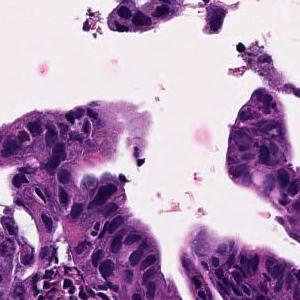
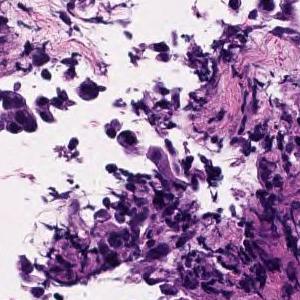
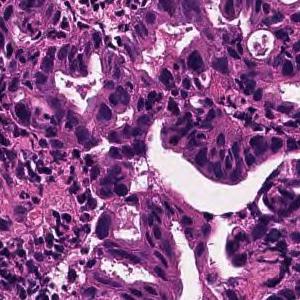
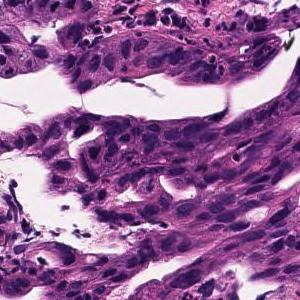
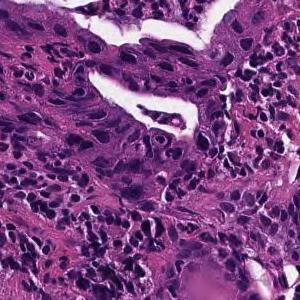
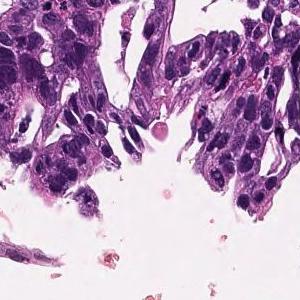
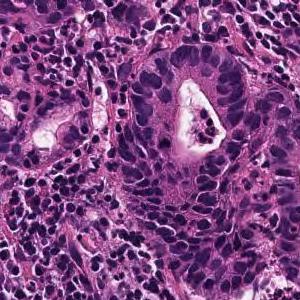
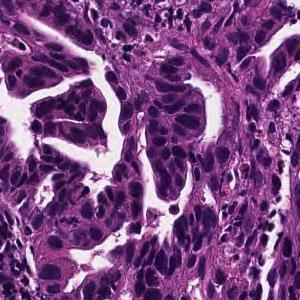
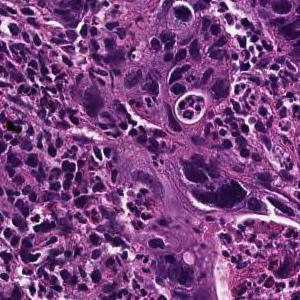
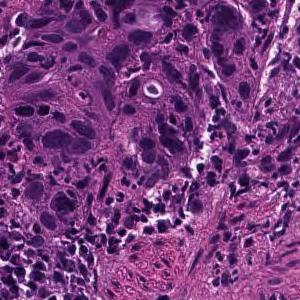
Hematoxylin and eosin stain · 10 patches cut from one gastric biopsy slide.
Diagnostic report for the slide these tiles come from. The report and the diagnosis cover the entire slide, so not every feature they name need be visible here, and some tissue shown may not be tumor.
In the superficial epithelium, medium-sized to small irregular glandular ducts are formed, and in some cases, the glandular ducts are fused or small cord-like infiltrating tumor tissue is observed. moderately differentiated tubular adenocarcinoma
